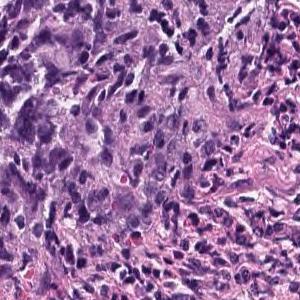
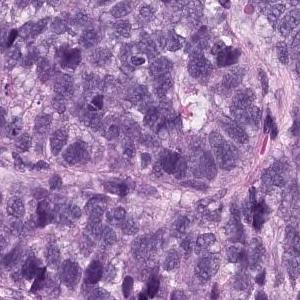
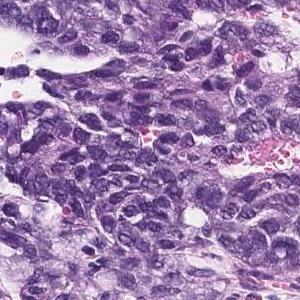
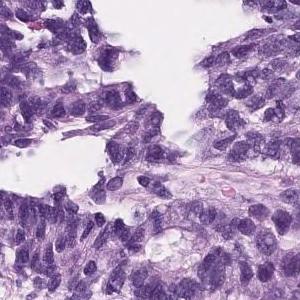
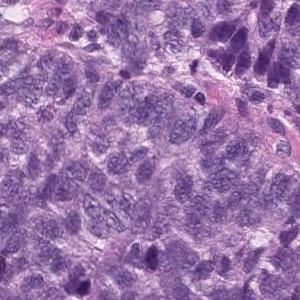
H&E stain · 5 image tiles from a single gastric biopsy slide · each 300 × 300 pixels.
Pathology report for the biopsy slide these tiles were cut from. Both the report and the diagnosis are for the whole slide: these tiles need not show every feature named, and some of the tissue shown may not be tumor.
Epithelial cells with swollen nuclei with atypia invasively proliferating while forming vesicles is observed. Poorly differentiated adenocarcinoma
Subtype: Poorly differentiated adenocarcinoma, solid type. This name comes from the Japanese Classification of Gastric Carcinoma; the WHO 2019 classification calls it tubular adenocarcinoma, poorly differentiated.
